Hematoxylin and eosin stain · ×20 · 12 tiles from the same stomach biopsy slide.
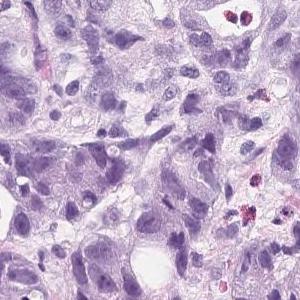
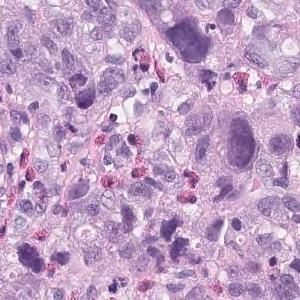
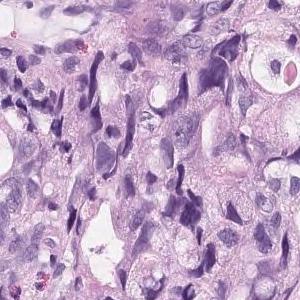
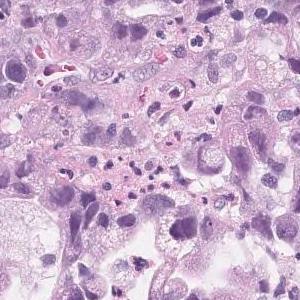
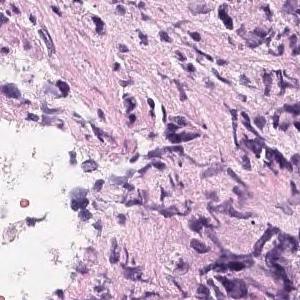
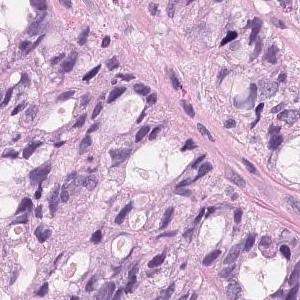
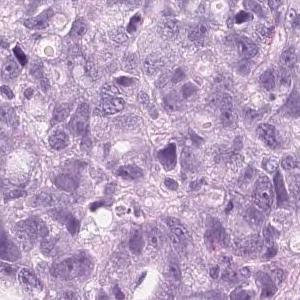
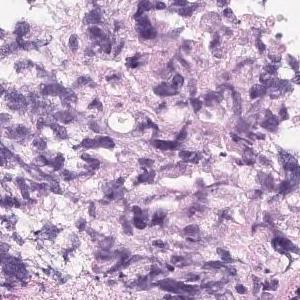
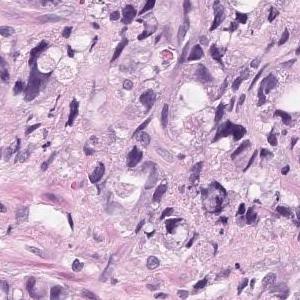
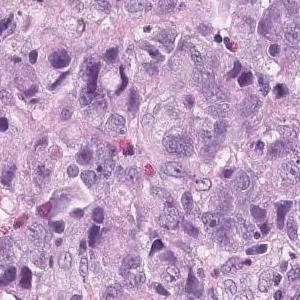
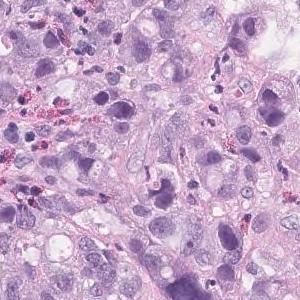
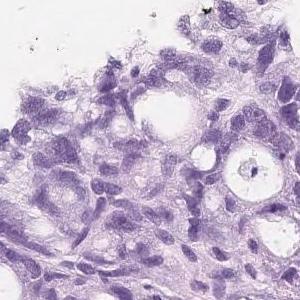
The pathologist's report on the biopsy slide these tiles were taken from. What the report and the diagnosis say applies to the whole slide; these tiles may miss some of the features named and may include tissue that is not tumor.
Tumor tissue that infiltrates and proliferates by forming small glandular cavities in the superficial layer to the submucosa or forming a mass is observed. moderately differentiated tubular adenocarcinoma
